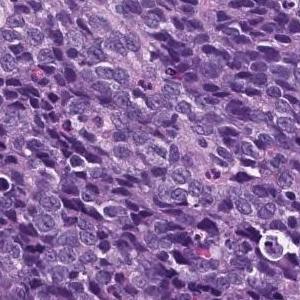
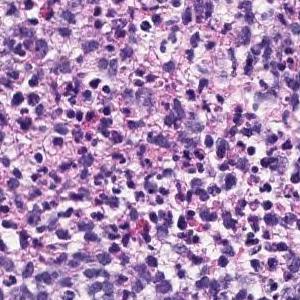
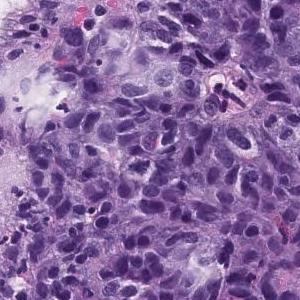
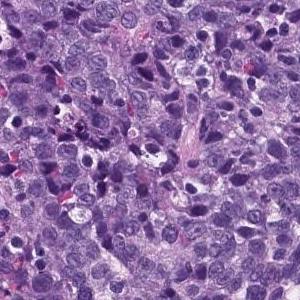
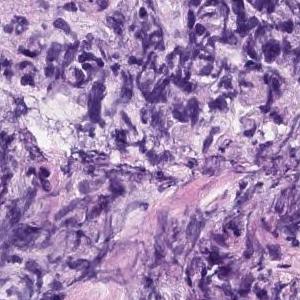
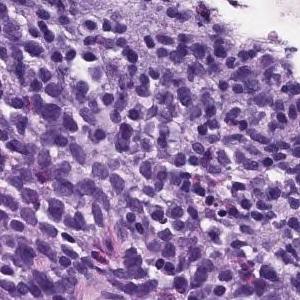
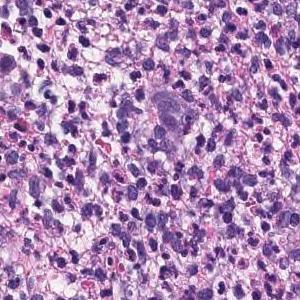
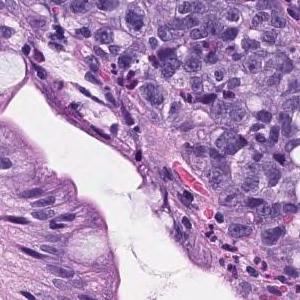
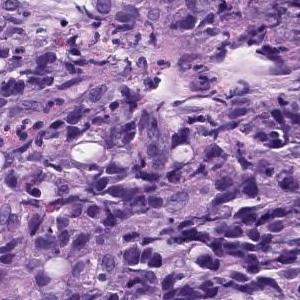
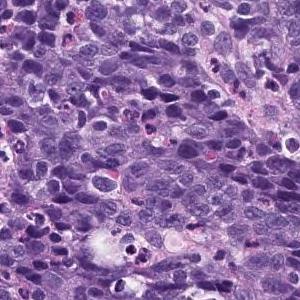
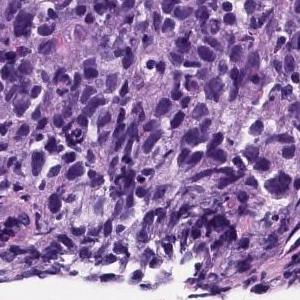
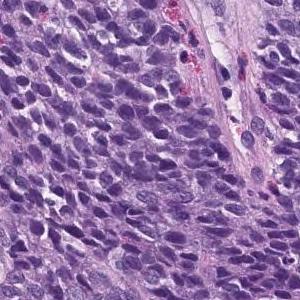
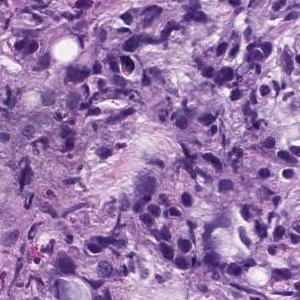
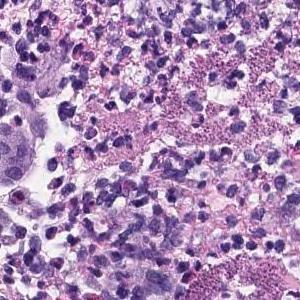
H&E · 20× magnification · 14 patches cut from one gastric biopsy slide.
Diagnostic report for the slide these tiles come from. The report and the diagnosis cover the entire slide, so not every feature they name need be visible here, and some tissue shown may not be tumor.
The superficial epithelium shows a large sheet-like shape, and some tumor tissue infiltrates with small irregular ducts. Poorly differentiated adenocarcinoma, solid-type
Tumor subtype: poorly differentiated adenocarcinoma, solid type (Japanese Classification of Gastric Carcinoma). The WHO 2019 equivalent is tubular adenocarcinoma, poorly differentiated.
